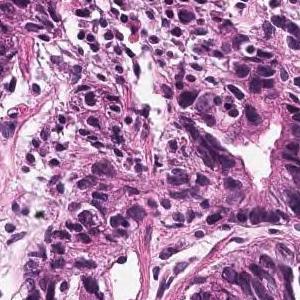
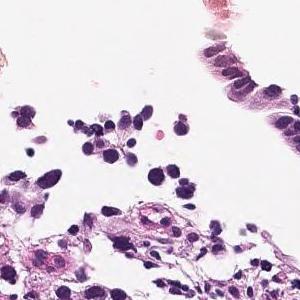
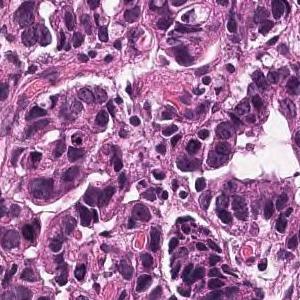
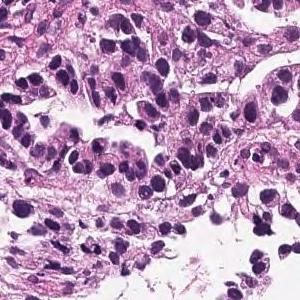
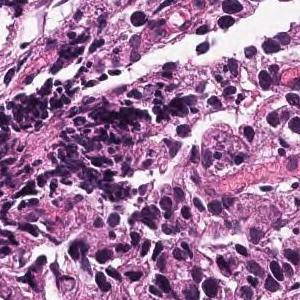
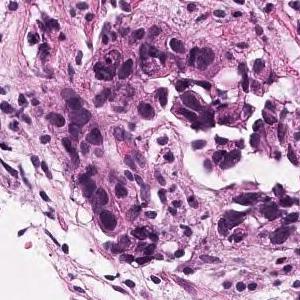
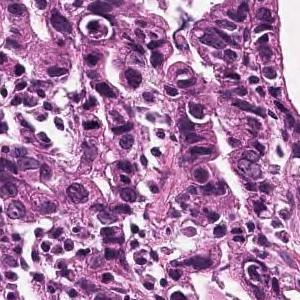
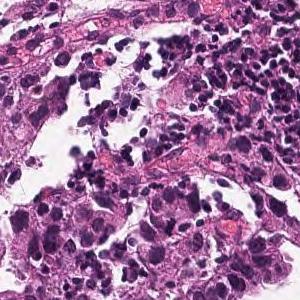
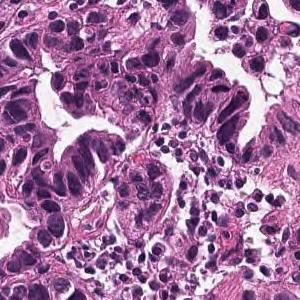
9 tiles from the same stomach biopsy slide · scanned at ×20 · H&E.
Pathology report for the biopsy slide these tiles were cut from. What the report and the diagnosis say applies to the whole slide; these tiles may miss some of the features named and may include tissue that is not tumor.
Medium to small, irregular glandular ducts are formed in the superficial epithelium, and in some cases, the glandular ducts are fused to show solid alveolar lesions and infiltrating tumor tissue is observed. Moderately to poorly differentiated adenocarcinoma.
